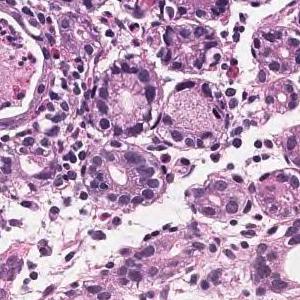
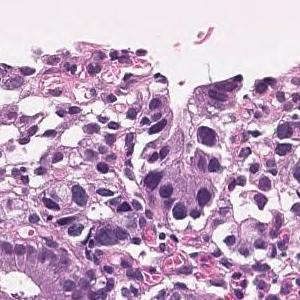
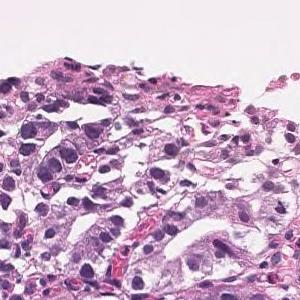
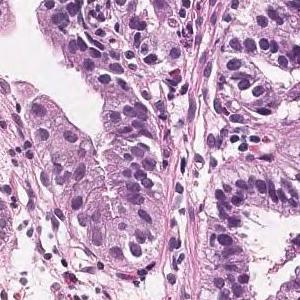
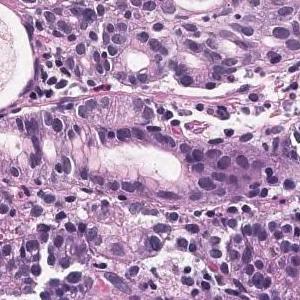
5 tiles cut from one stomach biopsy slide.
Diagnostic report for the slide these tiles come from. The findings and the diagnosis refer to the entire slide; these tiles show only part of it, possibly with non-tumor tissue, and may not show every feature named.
Tumor tissue forming round ducts of different sizes is observed, and cells that have fallen into apoptosis are observed in some ducts. Well differentiated tubular adenocarcinoma
